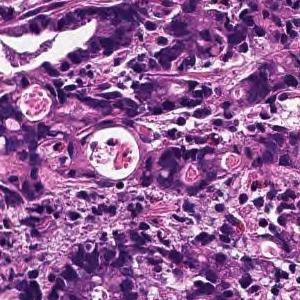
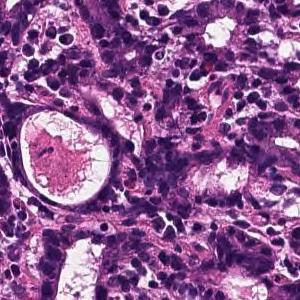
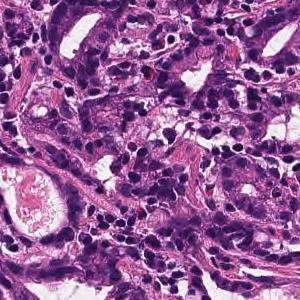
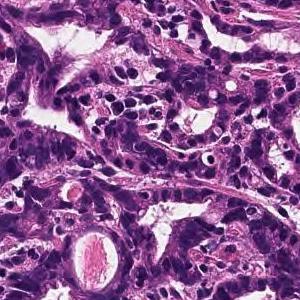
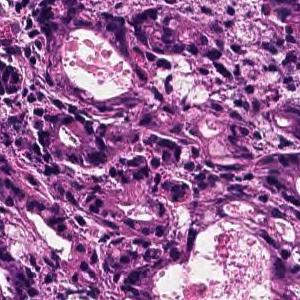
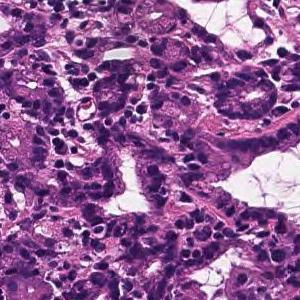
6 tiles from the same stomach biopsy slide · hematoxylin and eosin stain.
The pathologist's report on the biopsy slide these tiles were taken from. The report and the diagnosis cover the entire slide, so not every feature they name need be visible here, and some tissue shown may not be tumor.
On the superficial epithelium, tumor tissue is found in which medium-sized irregular gland ducts fuse with each other and infiltrate. moderately differentiated tubular adenocarcinoma
